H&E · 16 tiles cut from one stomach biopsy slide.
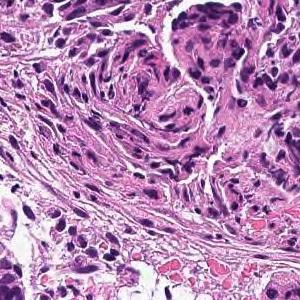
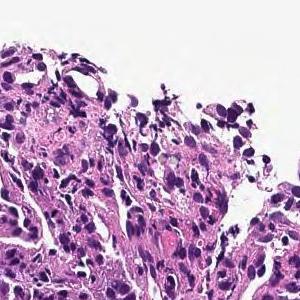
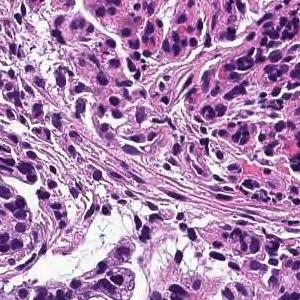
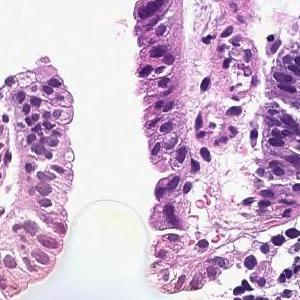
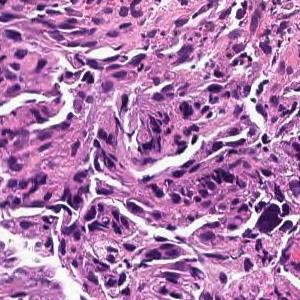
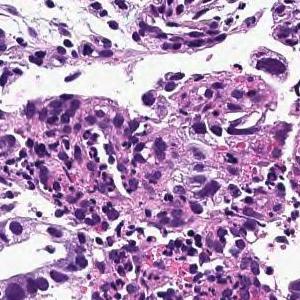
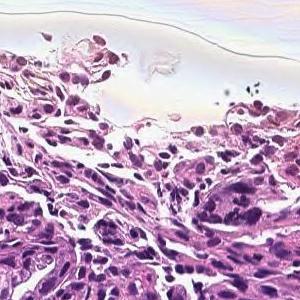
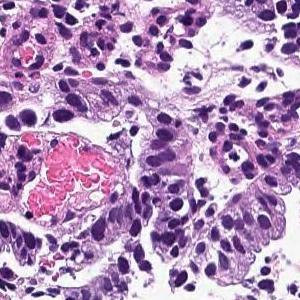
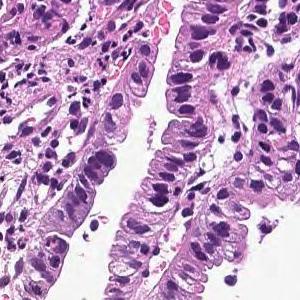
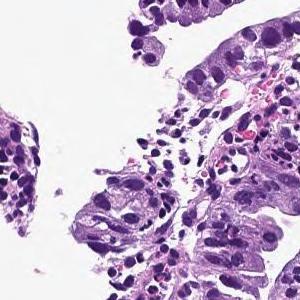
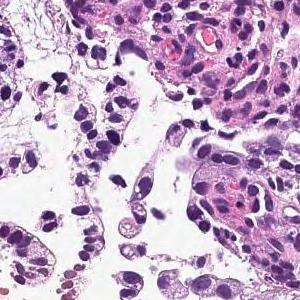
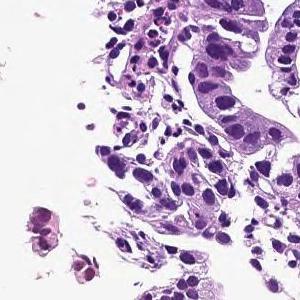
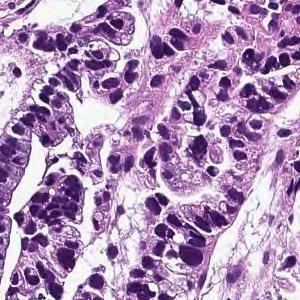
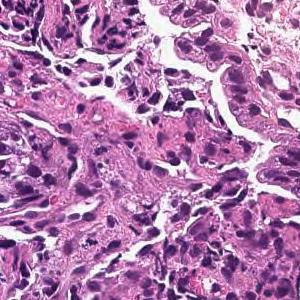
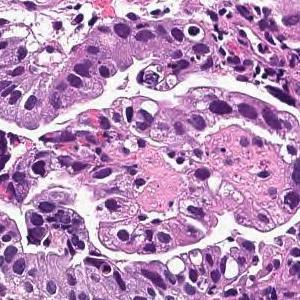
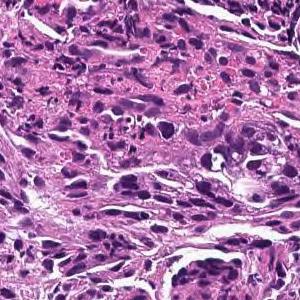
Report on the slide these tiles come from. What the report and the diagnosis say applies to the whole slide; these tiles may miss some of the features named and may include tissue that is not tumor.
On the superficial epithelium, tumor tissue that infiltrates by forming medium-sized papillary or small irregular ducts is observed. Papillary adenocarcinoma
